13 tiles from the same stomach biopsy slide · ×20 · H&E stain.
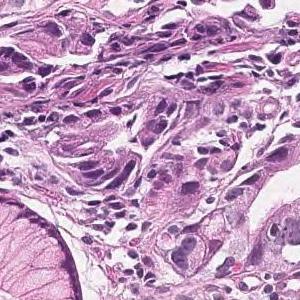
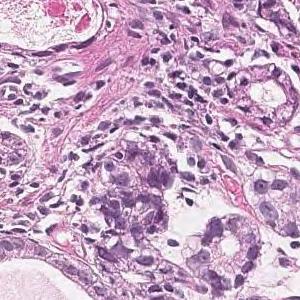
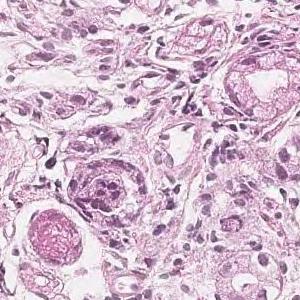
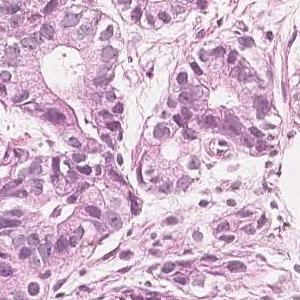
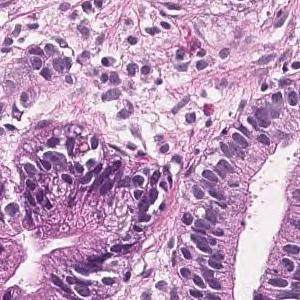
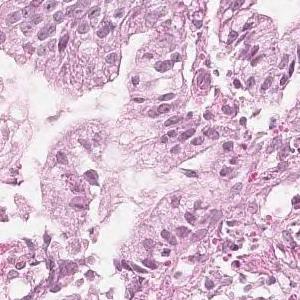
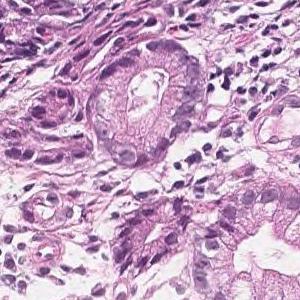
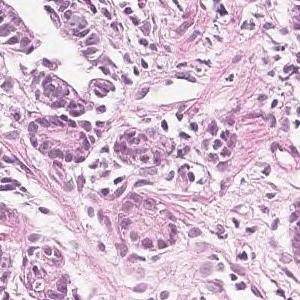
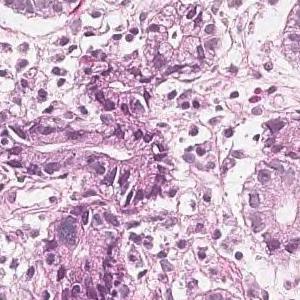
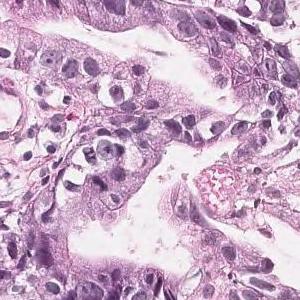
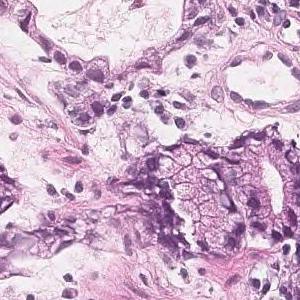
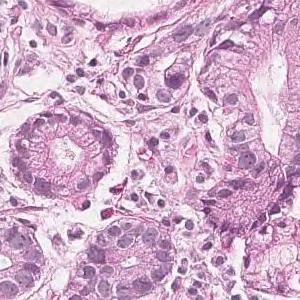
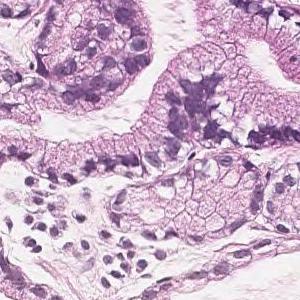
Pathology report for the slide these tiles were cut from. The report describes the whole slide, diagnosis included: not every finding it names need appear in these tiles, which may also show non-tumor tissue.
In the superficial epithelium, tumor tissue that invades by forming medium-sized to small, irregular ducts is observed. moderately differentiated tubular adenocarcinoma.
